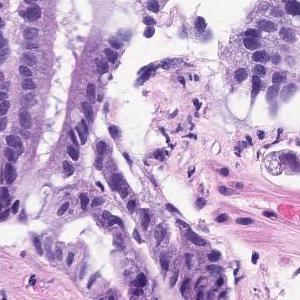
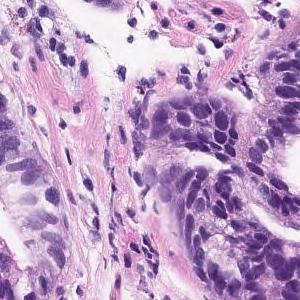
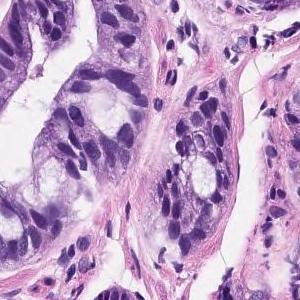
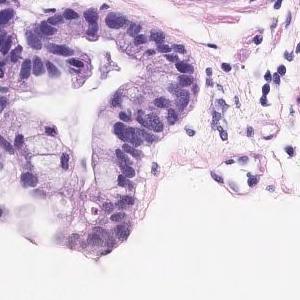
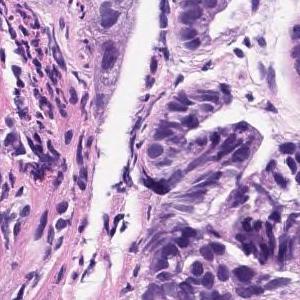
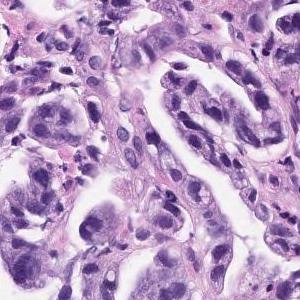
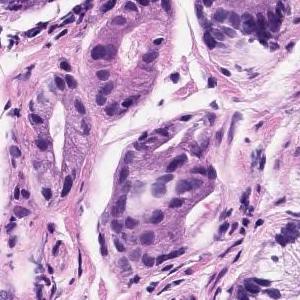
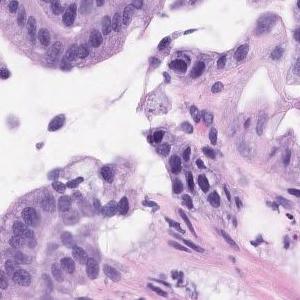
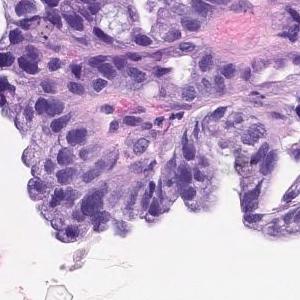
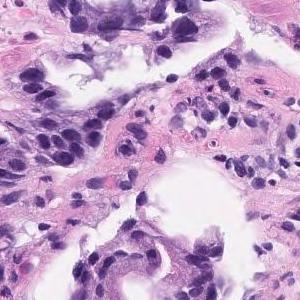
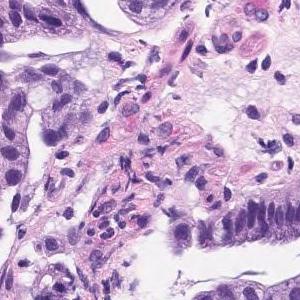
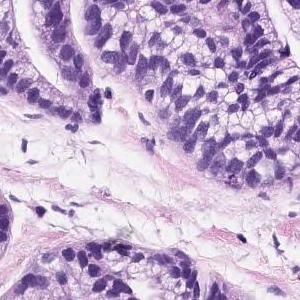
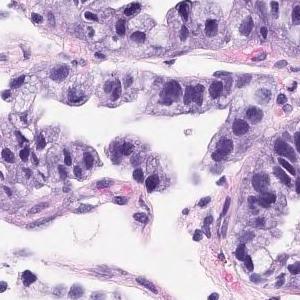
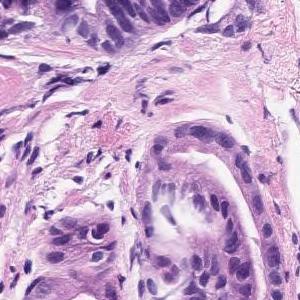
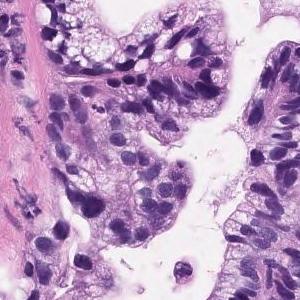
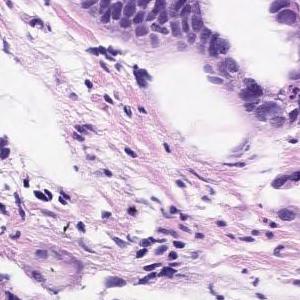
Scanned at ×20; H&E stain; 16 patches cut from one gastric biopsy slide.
Pathology report for the slide these tiles were cut from. The report and the diagnosis cover the entire slide, so not every feature they name need be visible here, and some tissue shown may not be tumor.
The superficial tumors shows large papillary structures or large and small ducts and infiltrates. Papillary adenocarcinoma.
